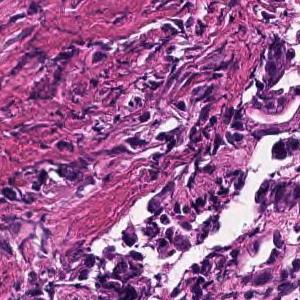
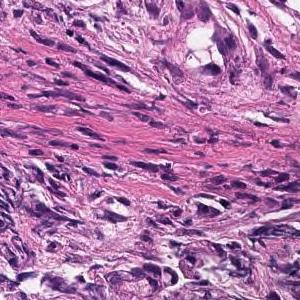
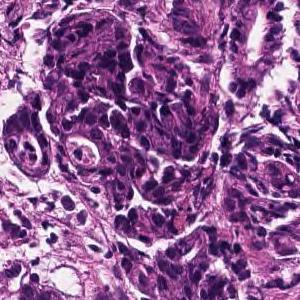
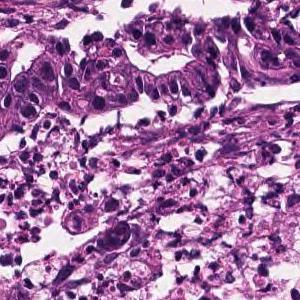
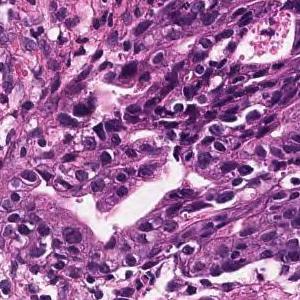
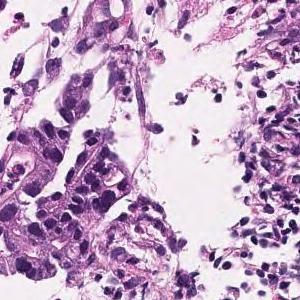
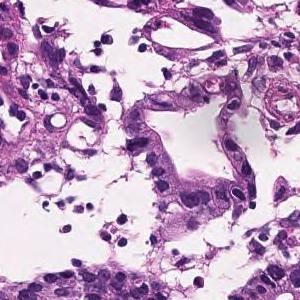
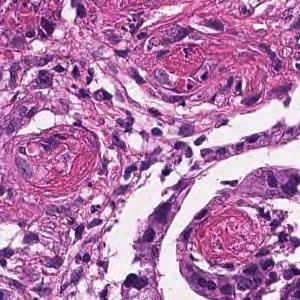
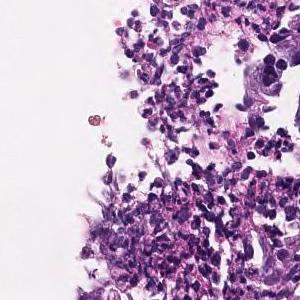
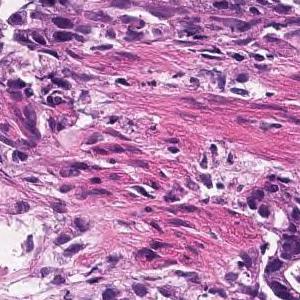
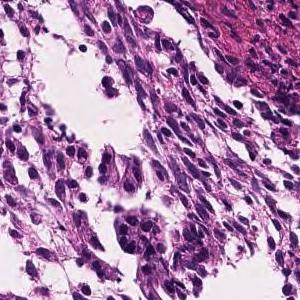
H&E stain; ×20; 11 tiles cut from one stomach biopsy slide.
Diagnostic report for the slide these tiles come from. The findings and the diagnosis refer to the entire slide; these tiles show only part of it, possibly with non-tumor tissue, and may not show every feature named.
In the superficial epithelium, medium to small, irregular gland ducts are formed, and in some cases, the gland ducts are fused to show solid alveolar lesions and infiltrating tumor tissue is observed. Moderately to poorly differentiated adenocarcinoma.
